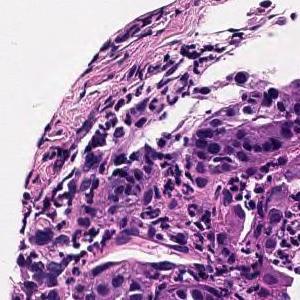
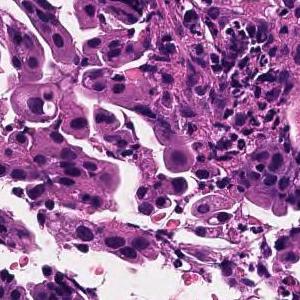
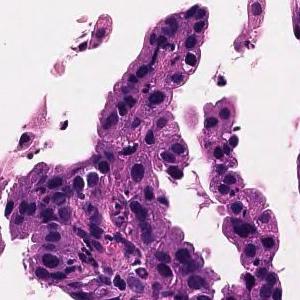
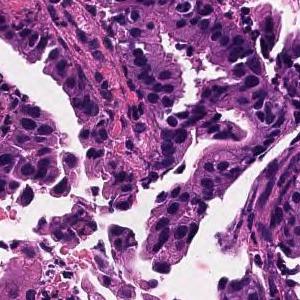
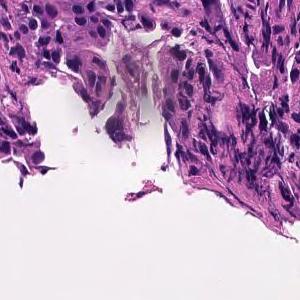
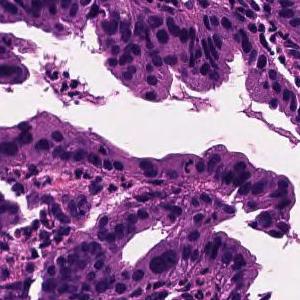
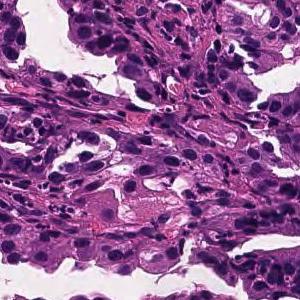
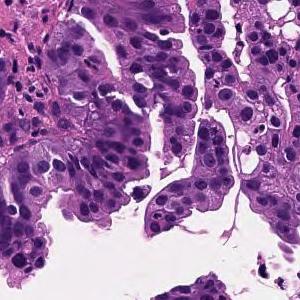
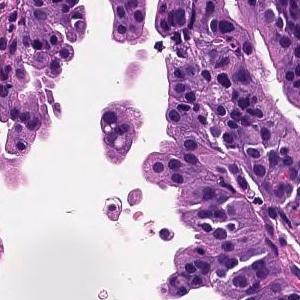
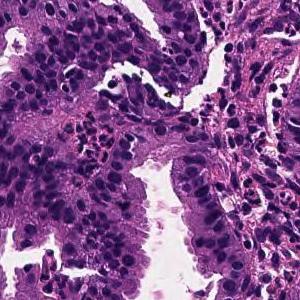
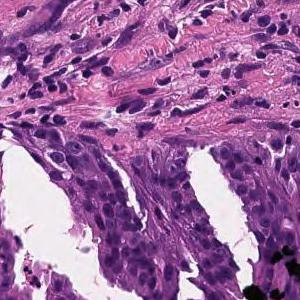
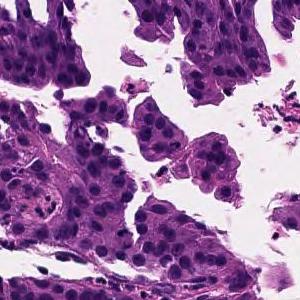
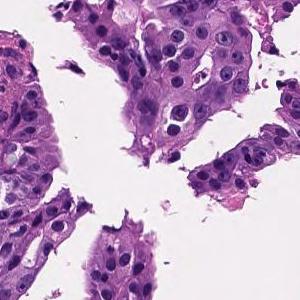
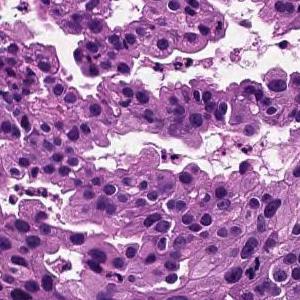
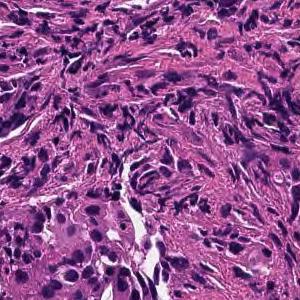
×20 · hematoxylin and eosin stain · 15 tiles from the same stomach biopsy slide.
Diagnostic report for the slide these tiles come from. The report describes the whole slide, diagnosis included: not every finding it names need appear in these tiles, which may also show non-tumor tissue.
On the superficial epithelium, tumor tissue consisting of large, irregular glandular ducts partially fused and infiltrated is observed. Well to moderately differentiated tubular adenocarcinoma (well differentiated tubular adenocarcinoma, moderately differentiated tubular adenocarcinoma)
Histologic type: Well to moderately differentiated tubular adenocarcinoma.
